H&E; 20× magnification; 14 tiles cut from one stomach biopsy slide.
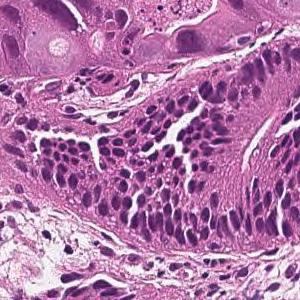
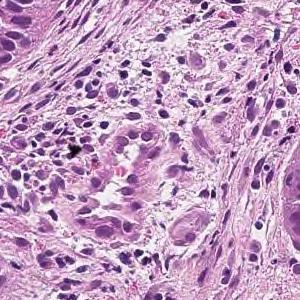
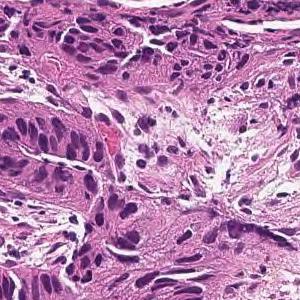
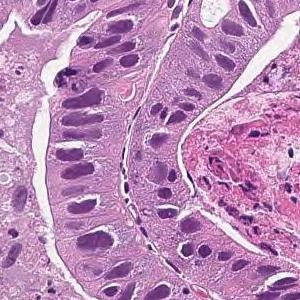
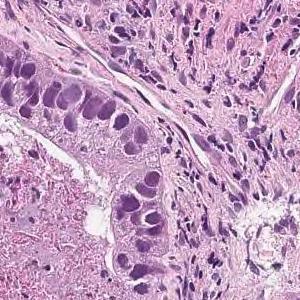
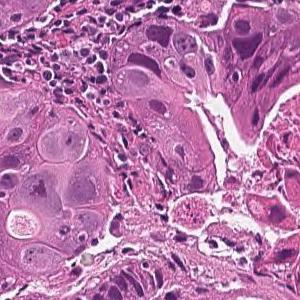
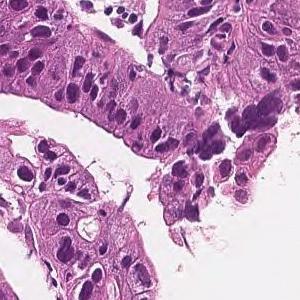
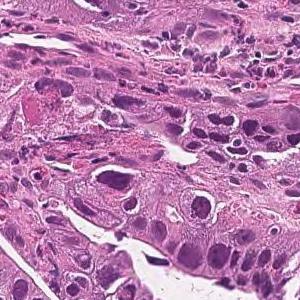
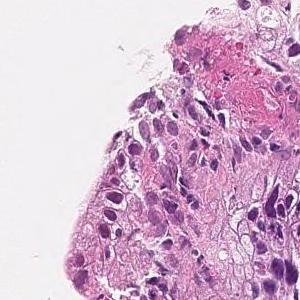
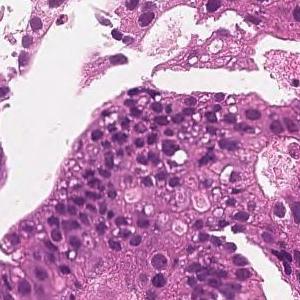
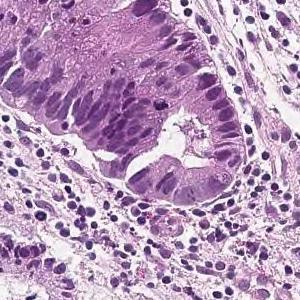
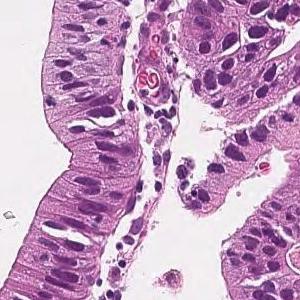
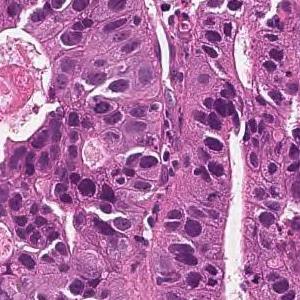
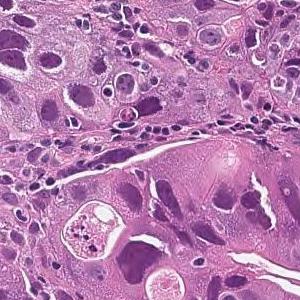
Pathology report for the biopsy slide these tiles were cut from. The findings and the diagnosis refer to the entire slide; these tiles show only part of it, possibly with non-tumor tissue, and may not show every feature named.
In the superficial epithelium, tumor tissue that invades by forming medium-sized to small, irregular ducts is observed. moderately differentiated tubular adenocarcinoma.
